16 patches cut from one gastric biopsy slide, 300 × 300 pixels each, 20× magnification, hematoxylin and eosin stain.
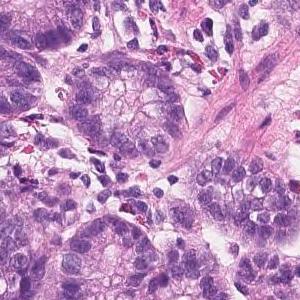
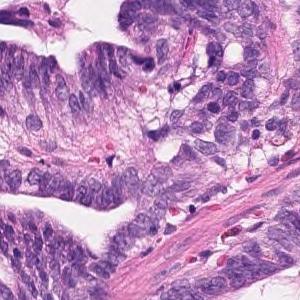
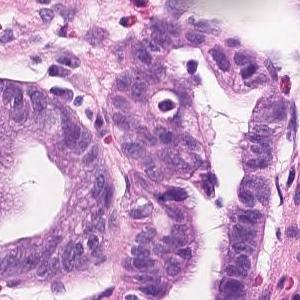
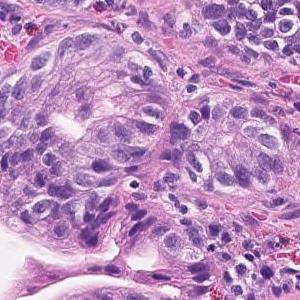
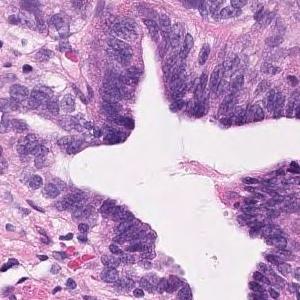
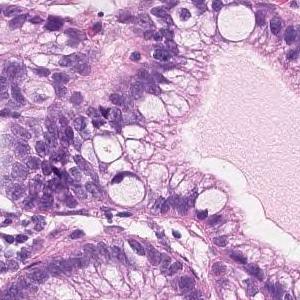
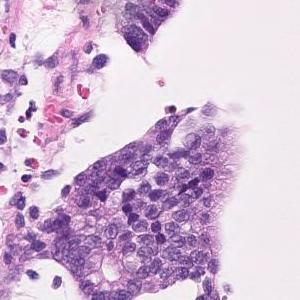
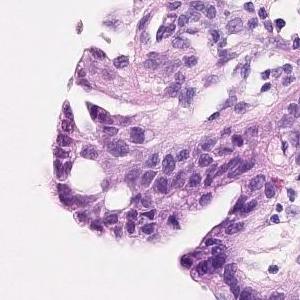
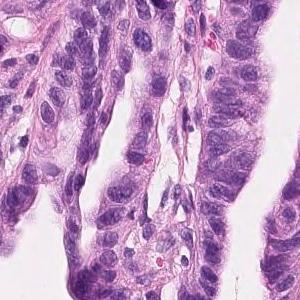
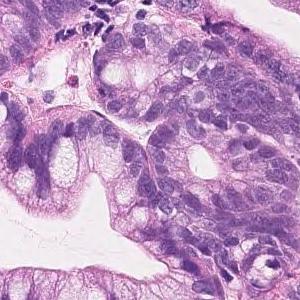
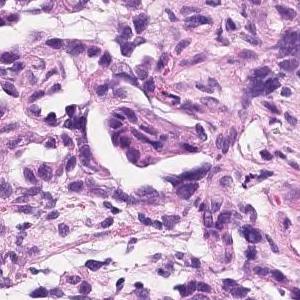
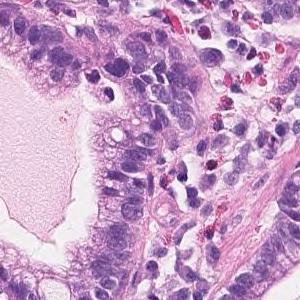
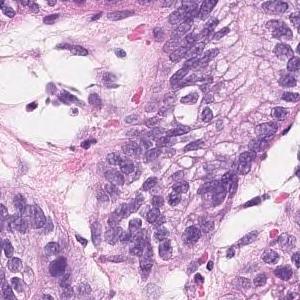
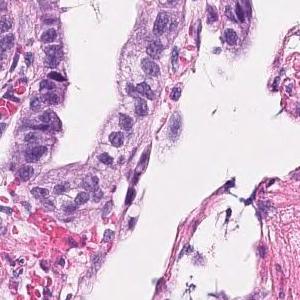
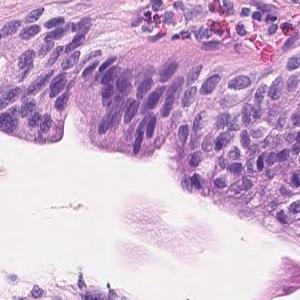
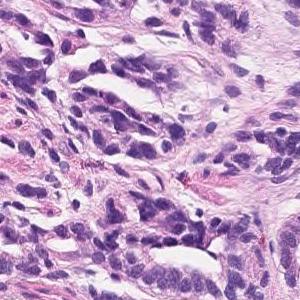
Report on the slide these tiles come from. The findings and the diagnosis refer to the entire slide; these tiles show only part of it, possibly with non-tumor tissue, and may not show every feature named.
Tumor cells are large, highly columnar, large club-shaped nuclei, and are associated with chromatin aggregation. Papillary adenocarcinoma.
